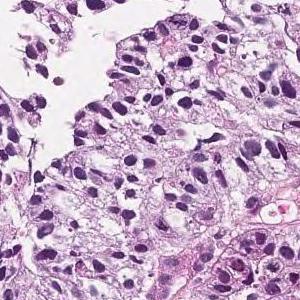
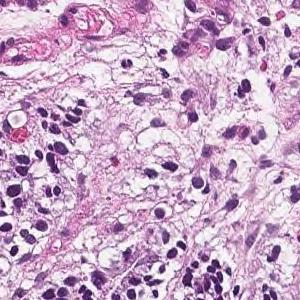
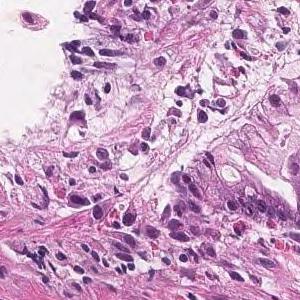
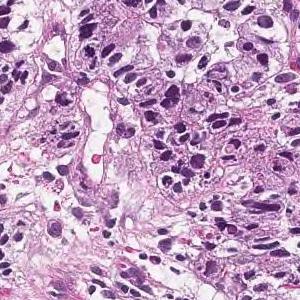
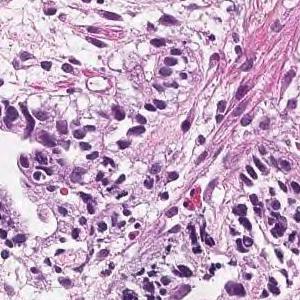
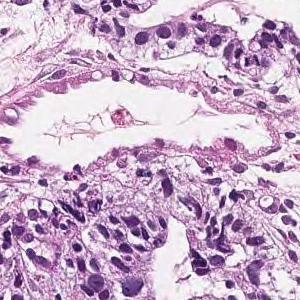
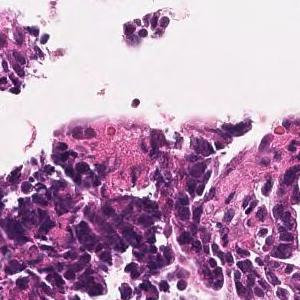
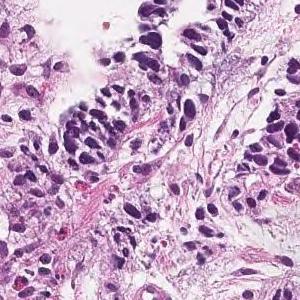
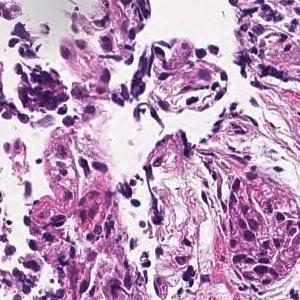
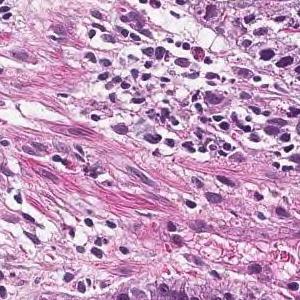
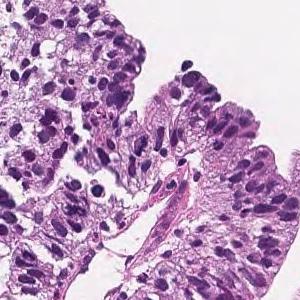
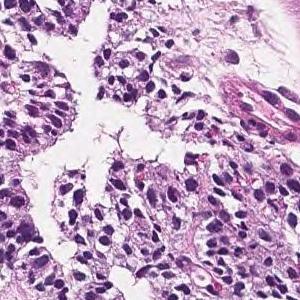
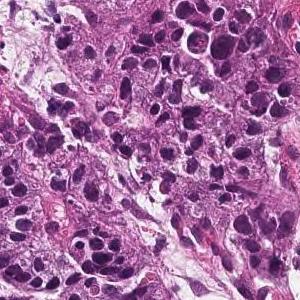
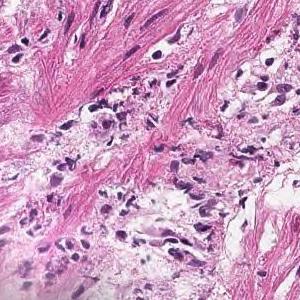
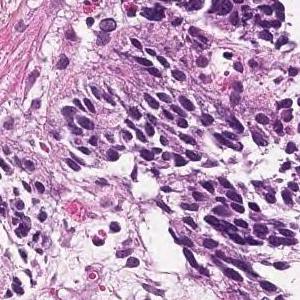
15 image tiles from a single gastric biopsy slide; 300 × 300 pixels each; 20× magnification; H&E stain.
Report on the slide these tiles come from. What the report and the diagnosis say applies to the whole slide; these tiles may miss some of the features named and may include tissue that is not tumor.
In the superficial epithelium, tumor tissue that invades by forming medium-sized to small, irregular ducts is observed. moderately differentiated tubular adenocarcinoma.
